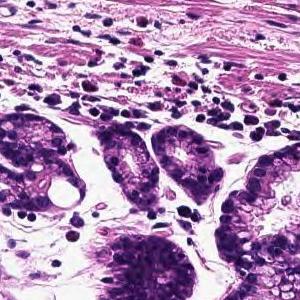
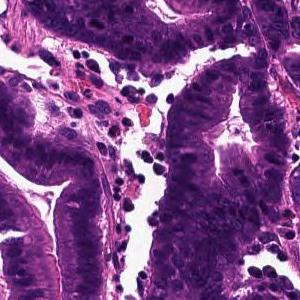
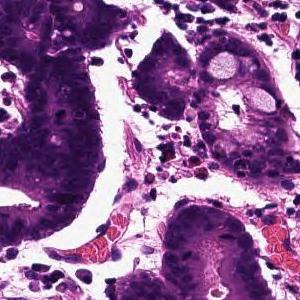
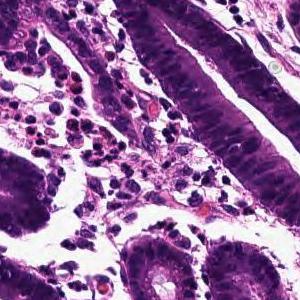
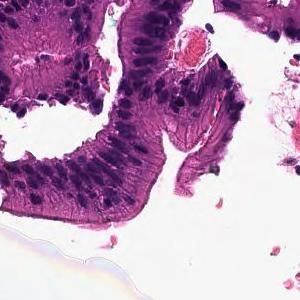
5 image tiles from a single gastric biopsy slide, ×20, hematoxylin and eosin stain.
Pathology report for the slide these tiles were cut from. Both the report and the diagnosis are for the whole slide: these tiles need not show every feature named, and some of the tissue shown may not be tumor.
Tumor tissue that infiltrates by forming large papillary or large irregular glandular ducts is observed confined to the mucosa. Papillary adenocarcinoma
